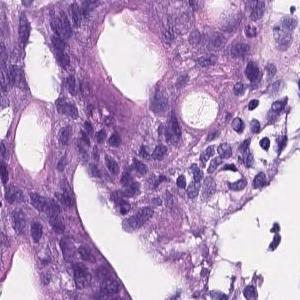
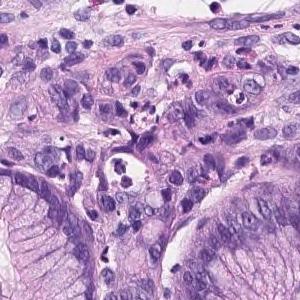
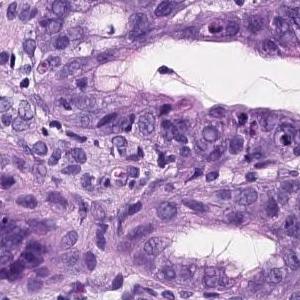
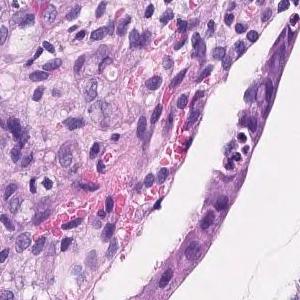
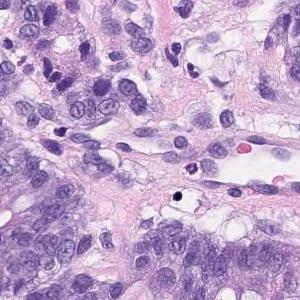
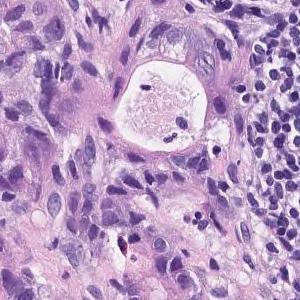
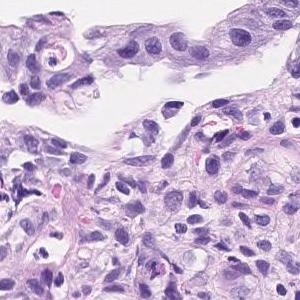
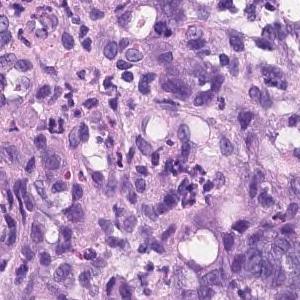
8 patches cut from one gastric biopsy slide, 300 × 300 pixels each, scanned at ×20, H&E.
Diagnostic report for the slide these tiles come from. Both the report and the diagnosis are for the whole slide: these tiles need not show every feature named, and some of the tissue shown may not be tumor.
Irregularly fused atypical ducts proliferating while replacing existing ducts was observed. moderately differentiated tubular adenocarcinoma
